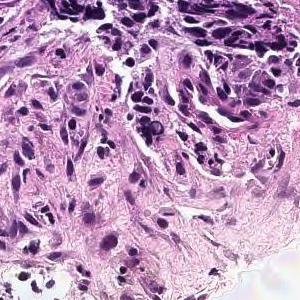
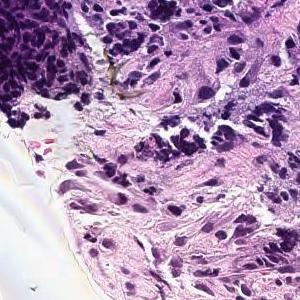
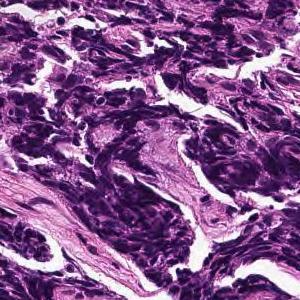
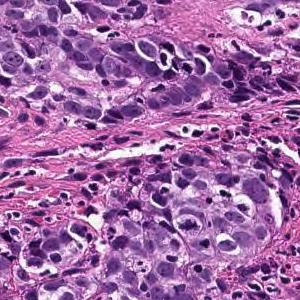
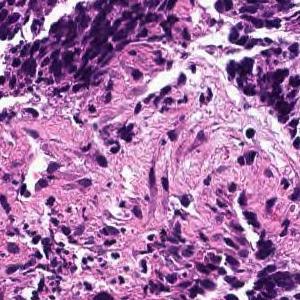
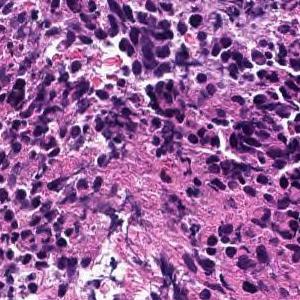
H&E, 6 tiles from the same stomach biopsy slide.
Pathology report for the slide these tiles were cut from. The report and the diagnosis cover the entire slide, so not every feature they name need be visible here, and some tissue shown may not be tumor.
The superficial epithelium shows a large sheet or alveolar shape, and tumor tissue infiltrating without irregular ducts is observed. Poorly differentiated adenocarcinoma, solid-type
Classified as poorly differentiated adenocarcinoma, solid type (Japanese Classification of Gastric Carcinoma). The WHO 2019 equivalent is tubular adenocarcinoma, poorly differentiated.
